8 patches cut from one gastric biopsy slide · 300 × 300 pixels each · H&E.
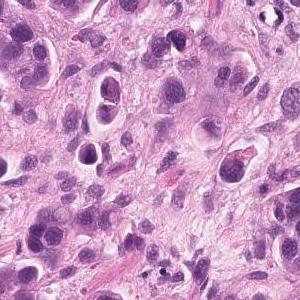
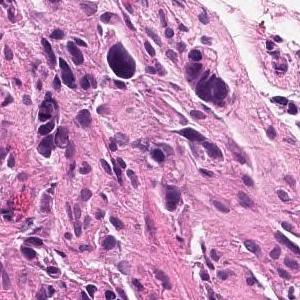
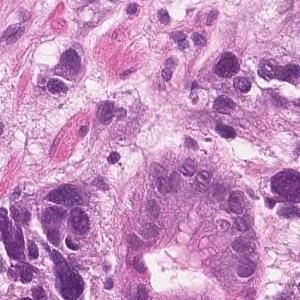
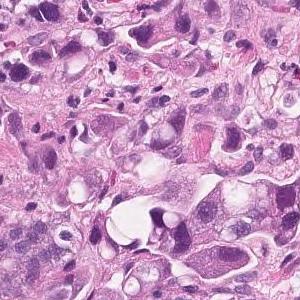
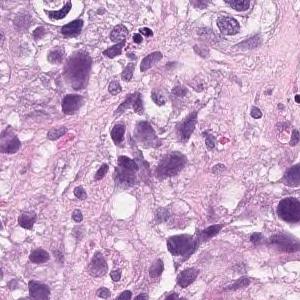
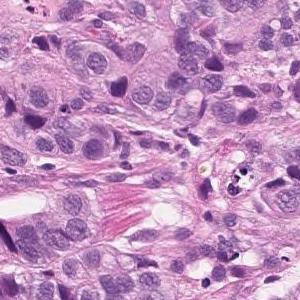
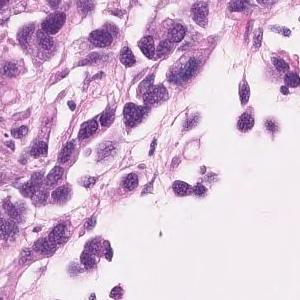
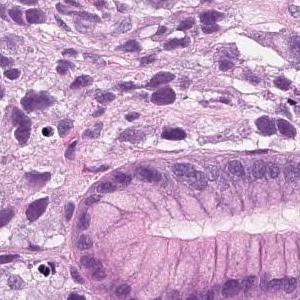
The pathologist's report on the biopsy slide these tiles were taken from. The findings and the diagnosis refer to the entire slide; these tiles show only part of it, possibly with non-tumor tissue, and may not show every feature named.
Tumor tissue that infiltrates the epithelium in an alveolar manner. Poorly differentiated adenocarcinoma, solid-type
Histologic type: Poorly differentiated adenocarcinoma, solid type, a category of the Japanese Classification of Gastric Carcinoma; in the WHO 2019 classification it is tubular adenocarcinoma, poorly differentiated.
